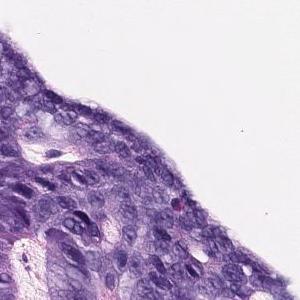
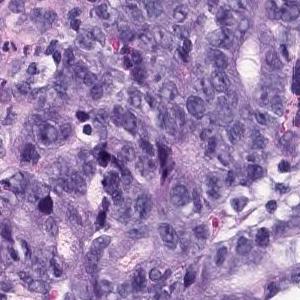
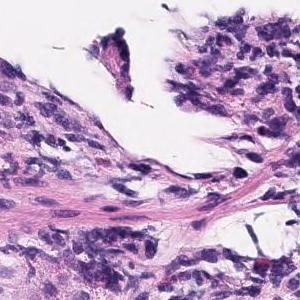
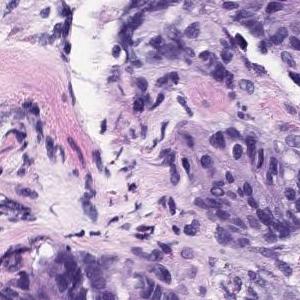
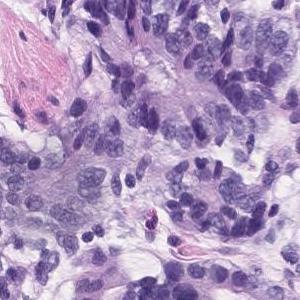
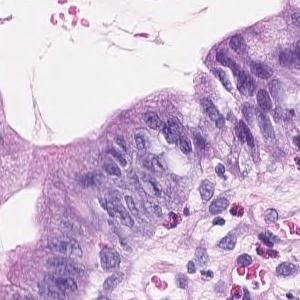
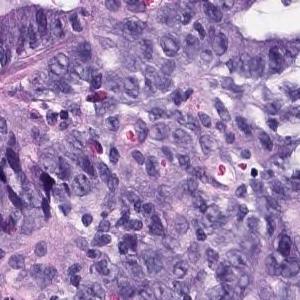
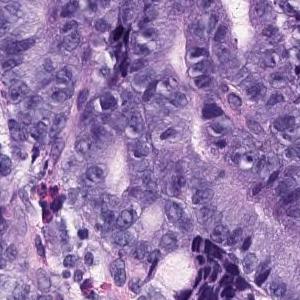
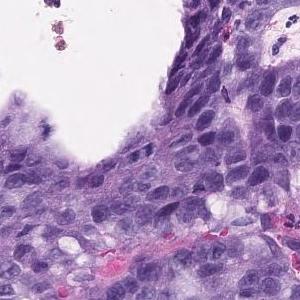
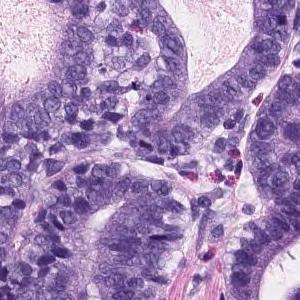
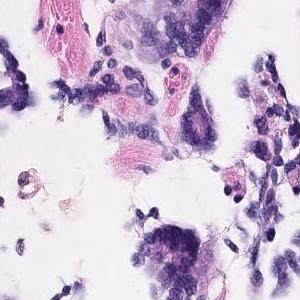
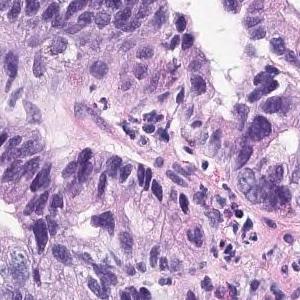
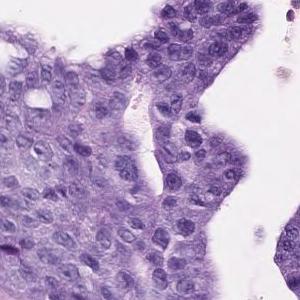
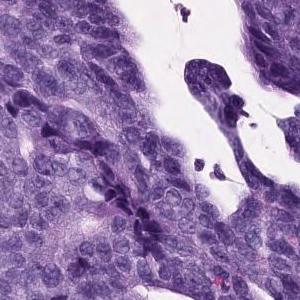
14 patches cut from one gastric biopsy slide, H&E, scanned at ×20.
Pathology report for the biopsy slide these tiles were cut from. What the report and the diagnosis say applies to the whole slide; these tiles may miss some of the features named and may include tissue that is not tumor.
In the superficial epithelium, tumor tissue that invades by forming medium-sized to small, irregular ducts is observed. Well to moderately differentiated tubular adenocarcinoma.
